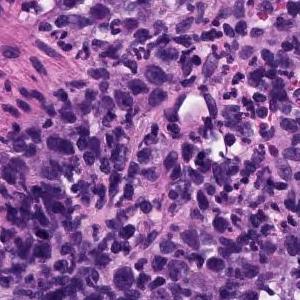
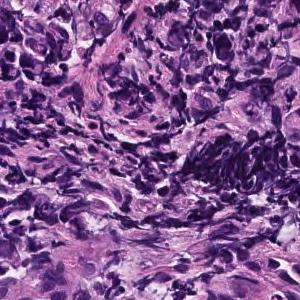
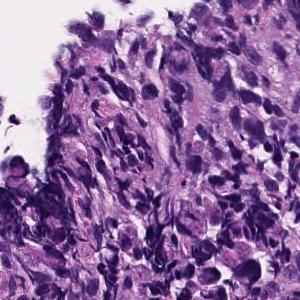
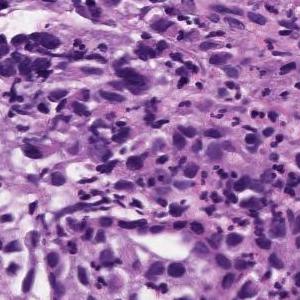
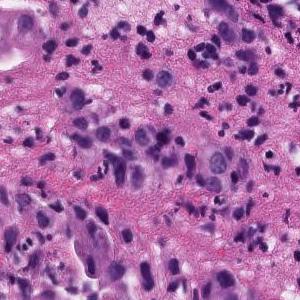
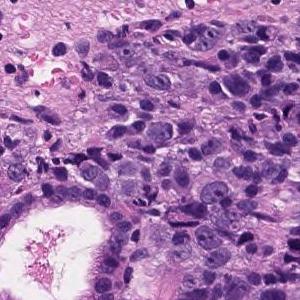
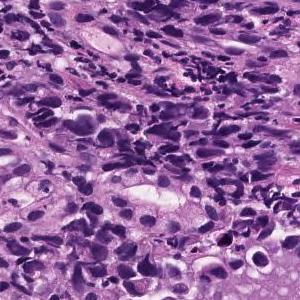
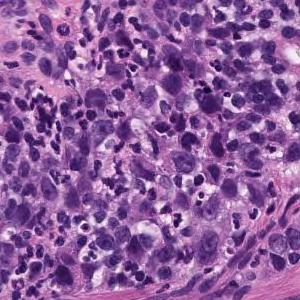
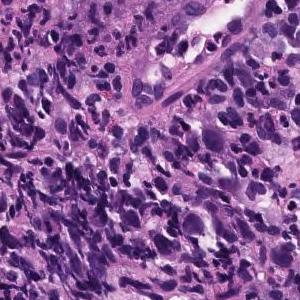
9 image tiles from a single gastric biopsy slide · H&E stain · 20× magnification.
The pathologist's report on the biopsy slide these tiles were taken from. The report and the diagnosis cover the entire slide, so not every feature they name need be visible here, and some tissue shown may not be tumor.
Poorly differentiated, solid adenocarcinoma (poorly differentiated adenocarcinoma, solid type) with tumor tissue diffusely infiltrated with atypical epithelial cells
Histologic type: Poorly differentiated adenocarcinoma, solid type. This name comes from the Japanese Classification of Gastric Carcinoma; the WHO 2019 classification calls it tubular adenocarcinoma, poorly differentiated.
